20× magnification; 8 patches cut from one gastric biopsy slide; 300×300 px each.
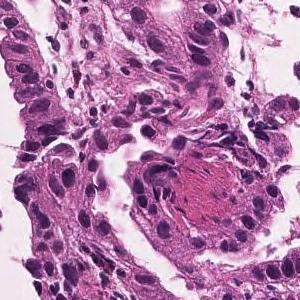
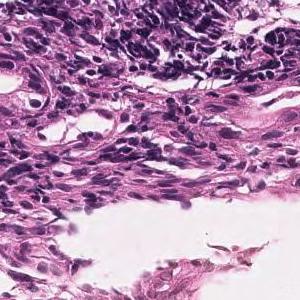
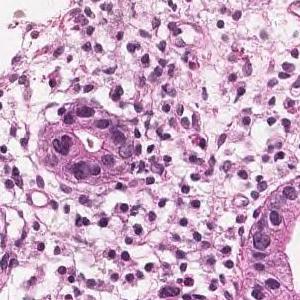
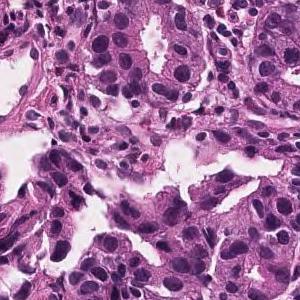
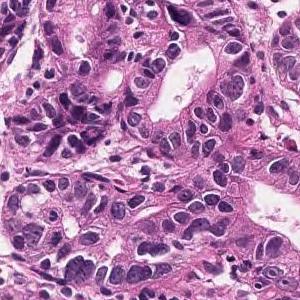
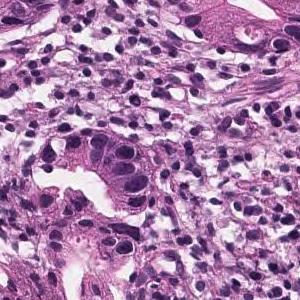
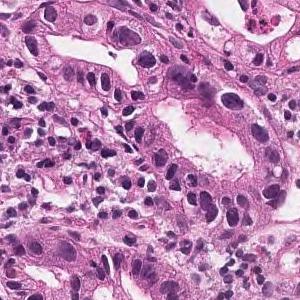
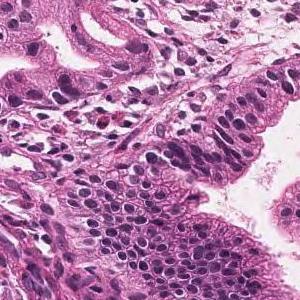
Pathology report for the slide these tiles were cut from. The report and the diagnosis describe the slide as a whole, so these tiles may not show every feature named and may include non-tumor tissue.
Tumor tissue consisting of medium-sized and irregular ducts is observed infiltrating in the superficial epithelium. Tumor cells are highly columnar, with nuclei aligned basolaterally and polarized. Well differentiated tubular adenocarcinoma.
